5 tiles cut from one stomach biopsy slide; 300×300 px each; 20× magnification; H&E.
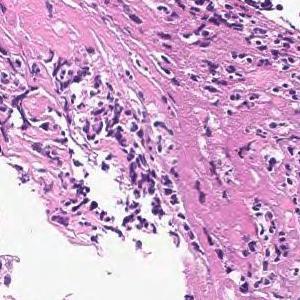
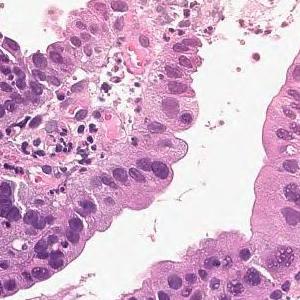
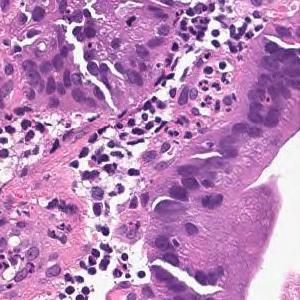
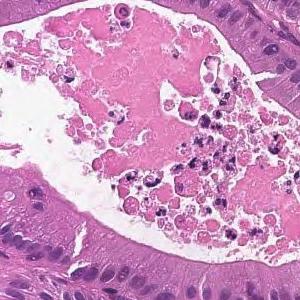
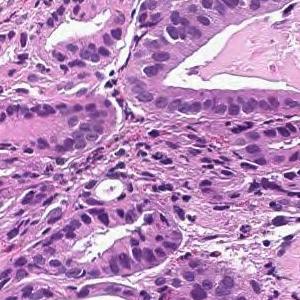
Pathology report for the biopsy slide these tiles were cut from. The report describes the whole slide, diagnosis included: not every finding it names need appear in these tiles, which may also show non-tumor tissue.
From the superficial epithelium to the muscularis mucosae, tumor tissue consisting of medium-sized and irregular glandular ducts infiltrating is observed. Well differentiated tubular adenocarcinoma
